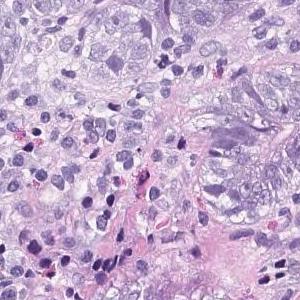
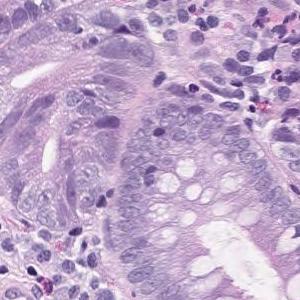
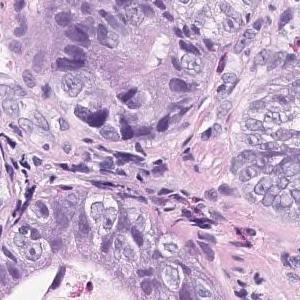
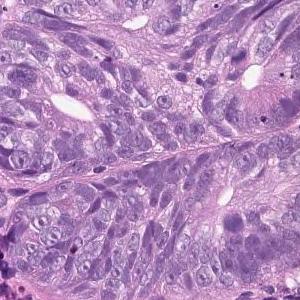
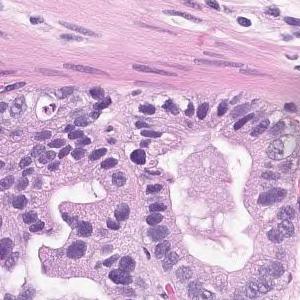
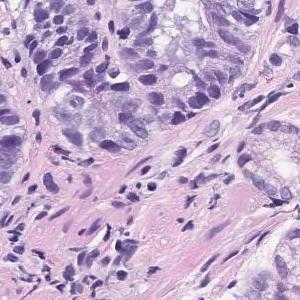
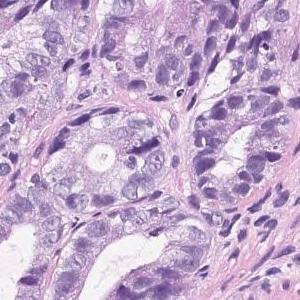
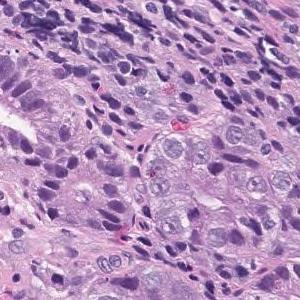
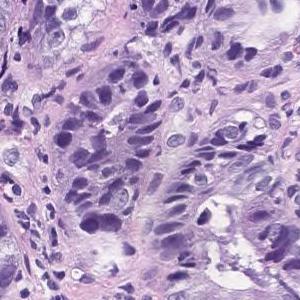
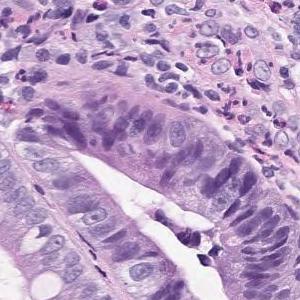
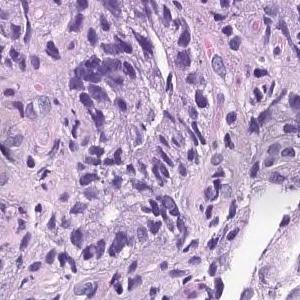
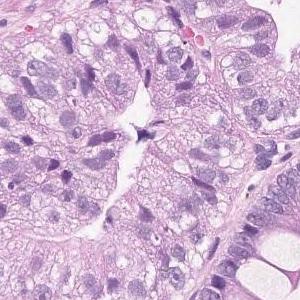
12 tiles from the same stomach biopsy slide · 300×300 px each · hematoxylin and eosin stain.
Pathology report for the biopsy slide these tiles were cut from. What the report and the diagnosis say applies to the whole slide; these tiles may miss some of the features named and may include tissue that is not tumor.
On the superficial epithelium, tumor tissue consisting of medium to small irregular tubules partially fused and proliferated is observed. moderately differentiated tubular adenocarcinoma
